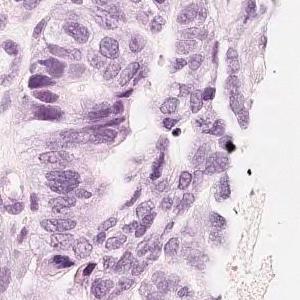
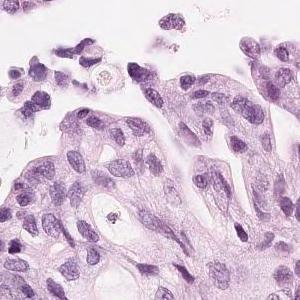
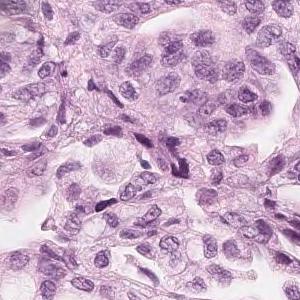
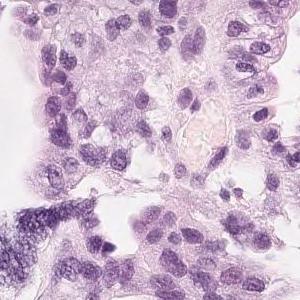
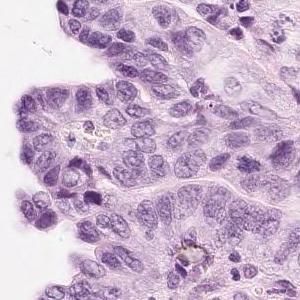
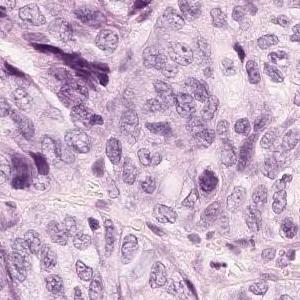
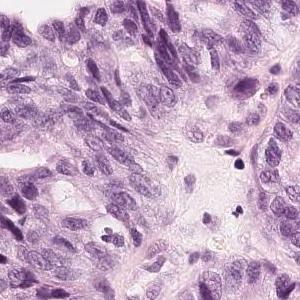
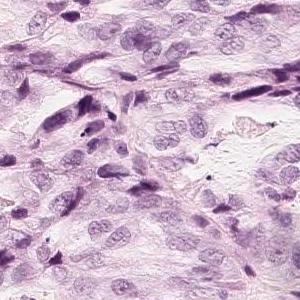
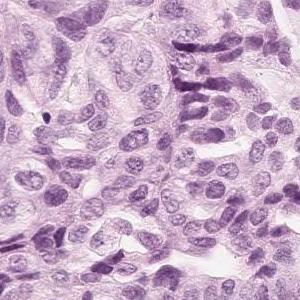
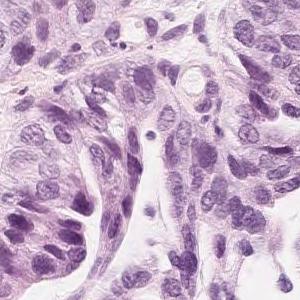
H&E stain; 20× magnification; 10 tiles from the same stomach biopsy slide; 300 × 300 pixels each.
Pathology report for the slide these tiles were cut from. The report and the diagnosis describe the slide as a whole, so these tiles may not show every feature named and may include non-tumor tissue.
Tumor tissue in which medium-sized atypical epithelial cells with a large N/C ratio grow densely while becoming alveolar to cord-like with duct formation is observed. moderately differentiated tubular adenocarcinoma
